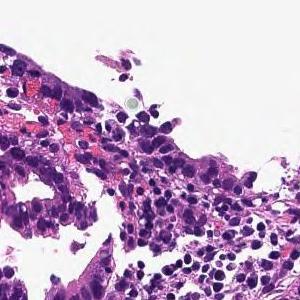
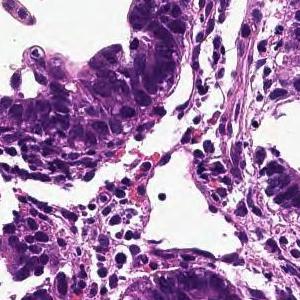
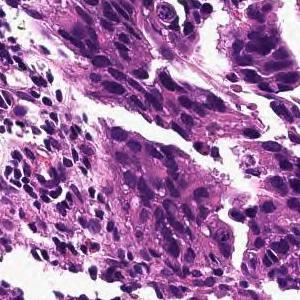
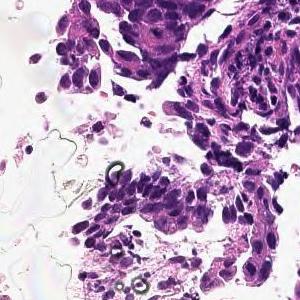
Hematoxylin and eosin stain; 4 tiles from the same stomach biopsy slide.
Report on the slide these tiles come from. The findings and the diagnosis refer to the entire slide; these tiles show only part of it, possibly with non-tumor tissue, and may not show every feature named.
In the superficial epithelium, tumor tissue that invades by forming medium-sized to small, irregular ducts is observed. moderately differentiated tubular adenocarcinoma.
